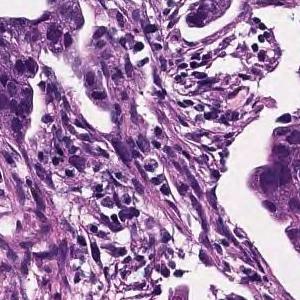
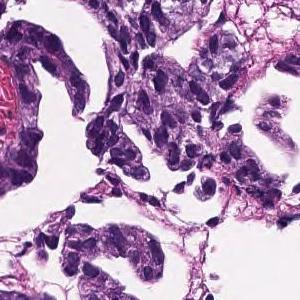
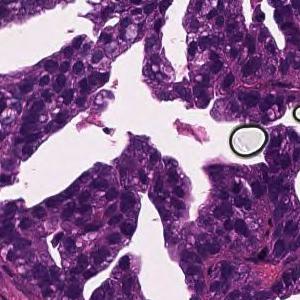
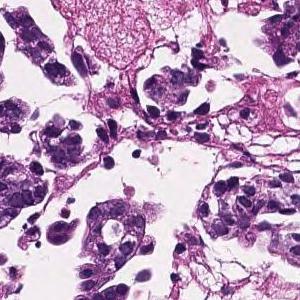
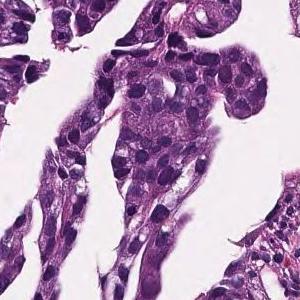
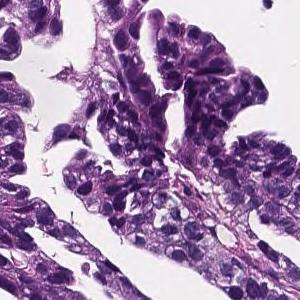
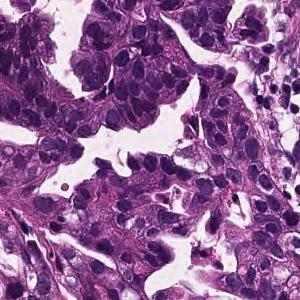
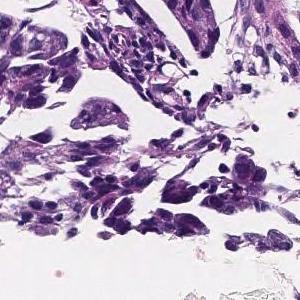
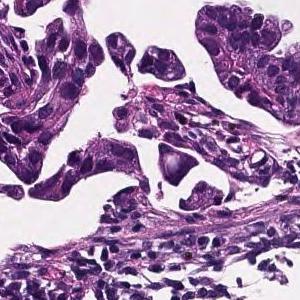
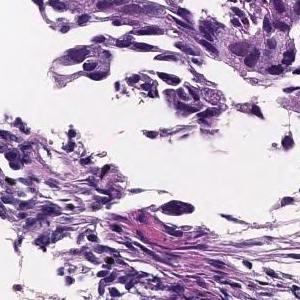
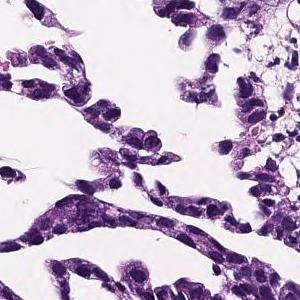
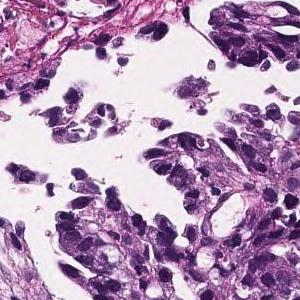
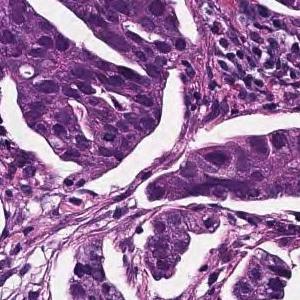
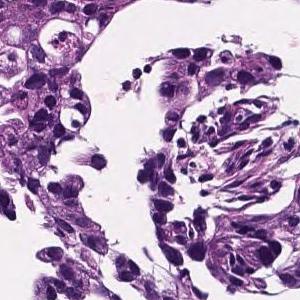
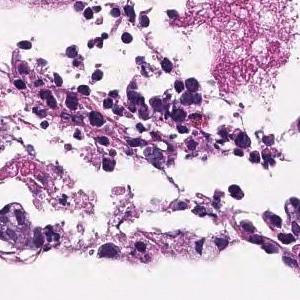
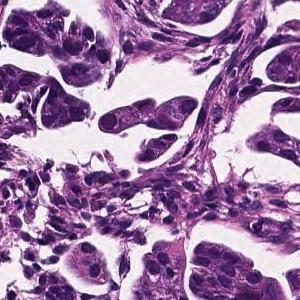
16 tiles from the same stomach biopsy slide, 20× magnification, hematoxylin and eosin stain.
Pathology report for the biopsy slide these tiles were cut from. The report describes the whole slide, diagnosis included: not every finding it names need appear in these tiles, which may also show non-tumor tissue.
In the lamina propria, tumor tissue that invades by forming medium-sized to small, irregular glandular ducts is observed. moderately differentiated tubular adenocarcinoma
